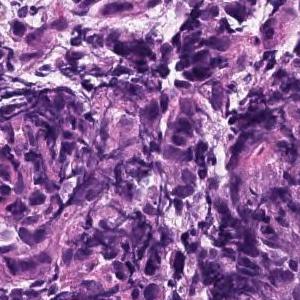
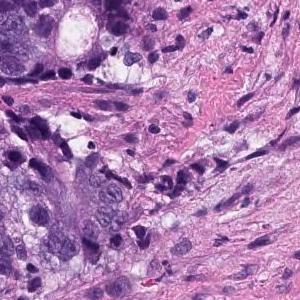
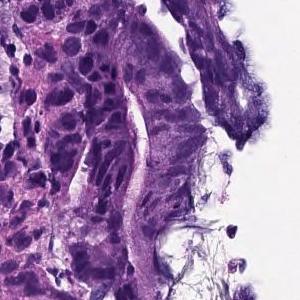
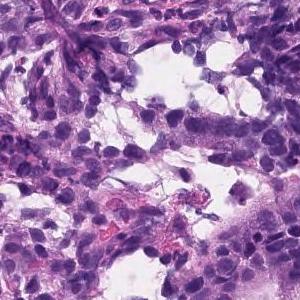
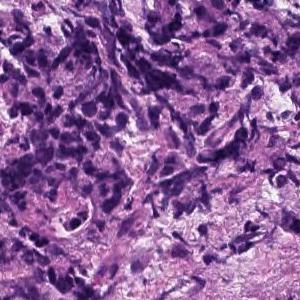
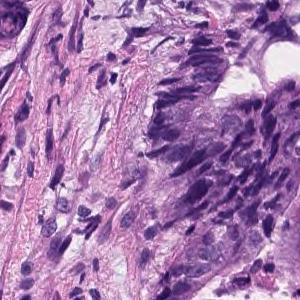
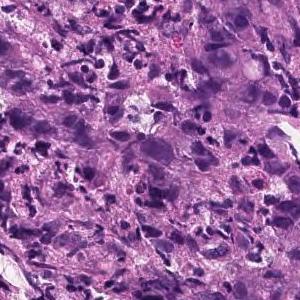
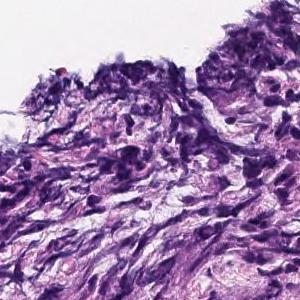
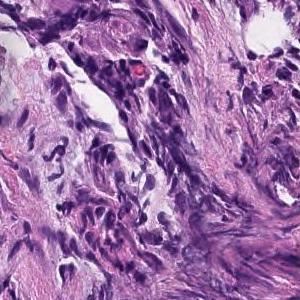
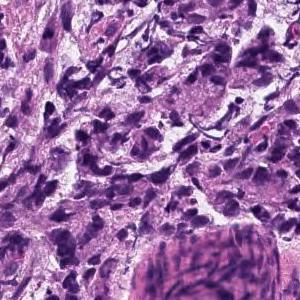
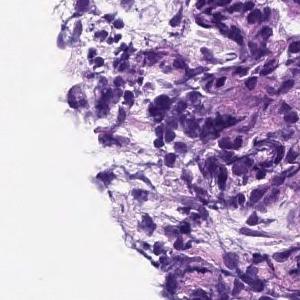
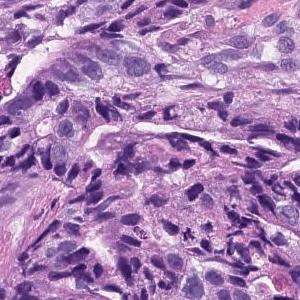
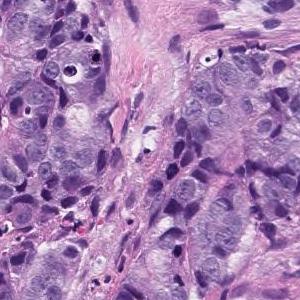
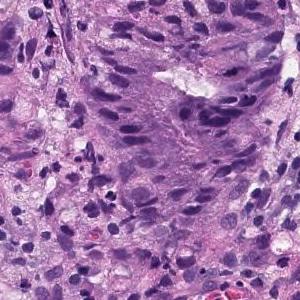
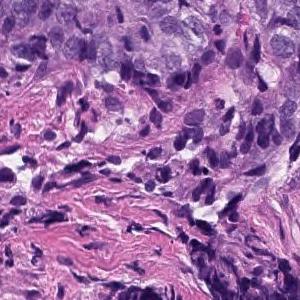
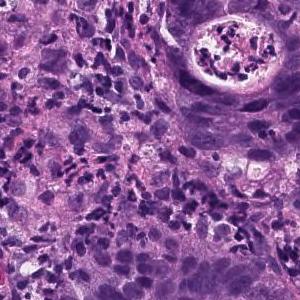
Scanned at ×20, hematoxylin and eosin stain, 16 tiles from the same stomach biopsy slide, 300 × 300 pixels each.
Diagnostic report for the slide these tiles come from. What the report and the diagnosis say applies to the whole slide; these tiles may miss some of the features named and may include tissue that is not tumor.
Medium to small, irregular glandular ducts are formed in the superficial epithelium, and in some cases, the glandular ducts are fused to show solid alveolar lesions and infiltrating tumor tissue is observed. Moderately to poorly differentiated adenocarcinoma.
